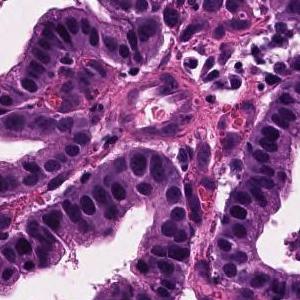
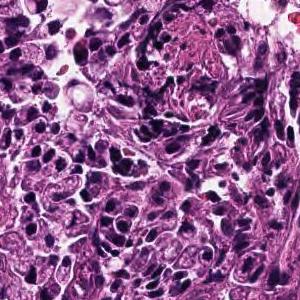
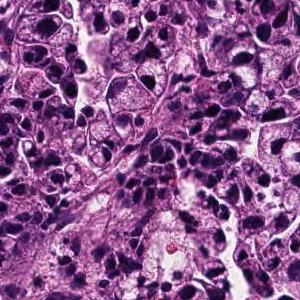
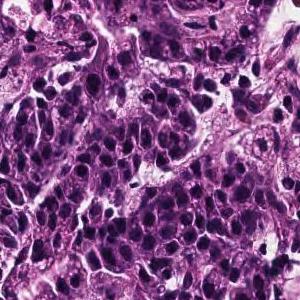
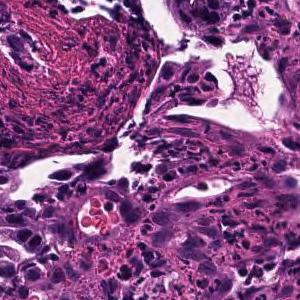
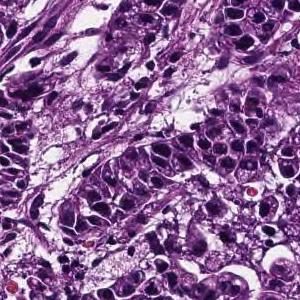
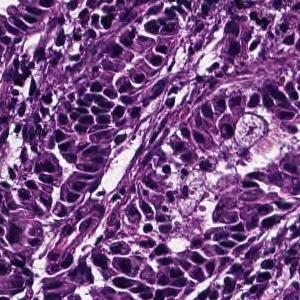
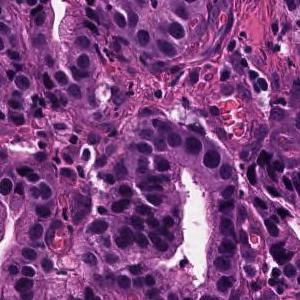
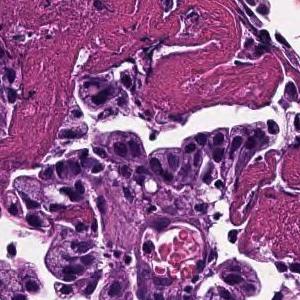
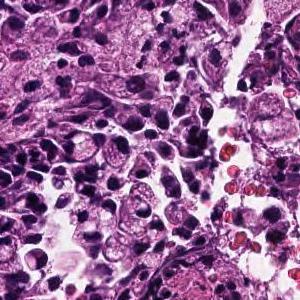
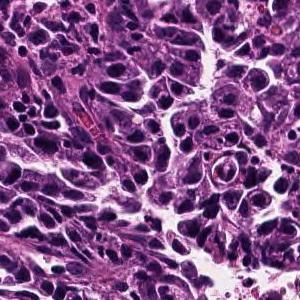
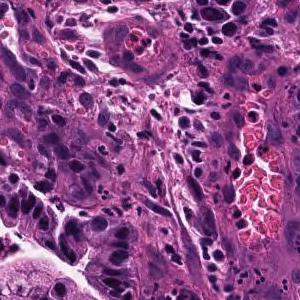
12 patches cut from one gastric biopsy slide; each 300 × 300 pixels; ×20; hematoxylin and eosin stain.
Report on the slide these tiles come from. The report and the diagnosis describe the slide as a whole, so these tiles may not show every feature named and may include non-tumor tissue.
Tumor cells are large, highly columnar, large club-shaped nuclei, and are associated with chromatin aggregation. Papillary adenocarcinoma.
